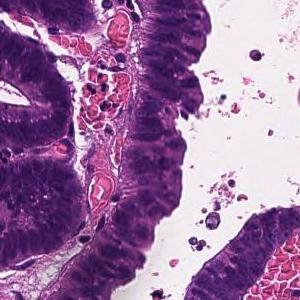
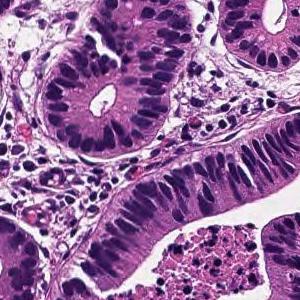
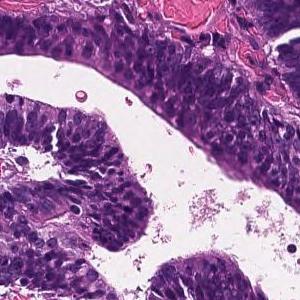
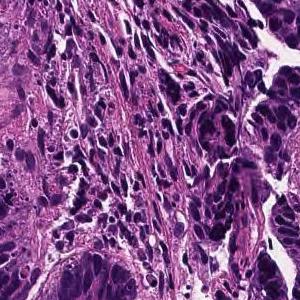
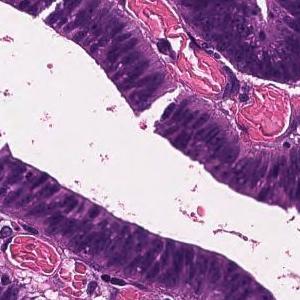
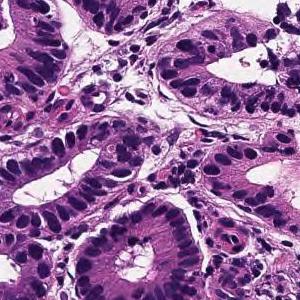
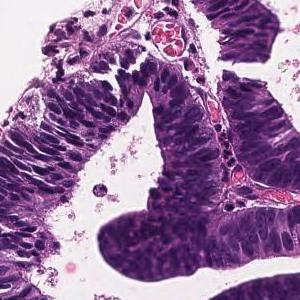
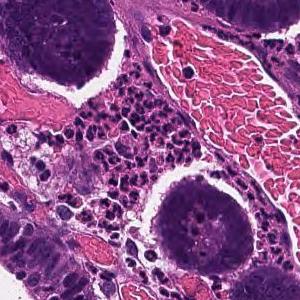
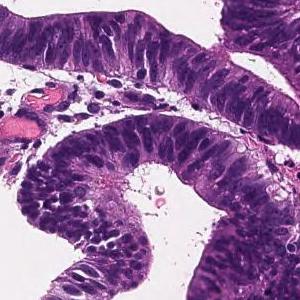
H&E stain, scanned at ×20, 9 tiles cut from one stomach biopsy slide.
Pathology report for the biopsy slide these tiles were cut from. The report describes the whole slide, diagnosis included: not every finding it names need appear in these tiles, which may also show non-tumor tissue.
Tumor tissue consisting of large papillary structures is found in the superficial epithelium. Papillary adenocarcinoma.
